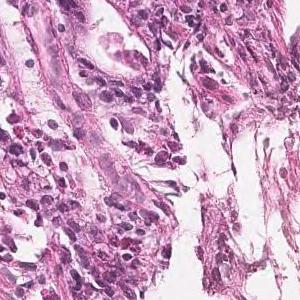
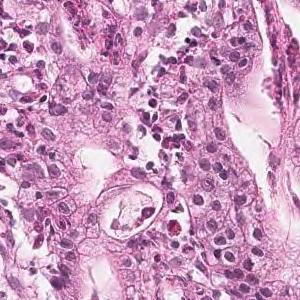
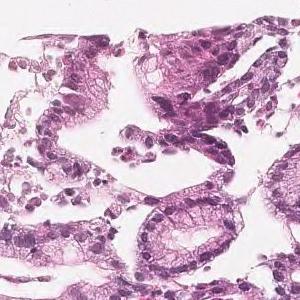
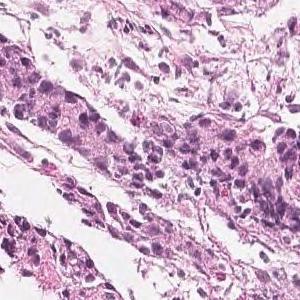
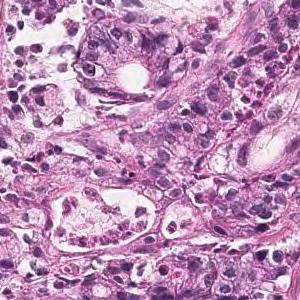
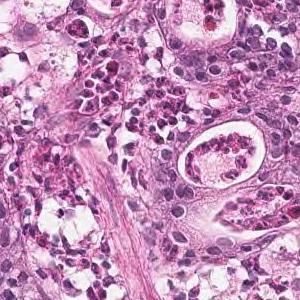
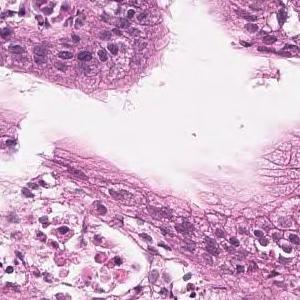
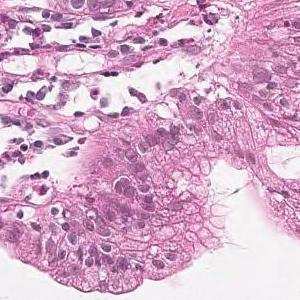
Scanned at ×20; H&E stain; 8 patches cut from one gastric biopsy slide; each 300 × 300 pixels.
Pathology report for the biopsy slide these tiles were cut from. The report describes the whole slide, diagnosis included: not every finding it names need appear in these tiles, which may also show non-tumor tissue.
Tumor tissue consisting of medium-sized, cord-like or irregular glandular infiltration is observed in the superficial epithelium. Poorly differentiated adenocarcinoma, non-solid type or moderately differentiated tubular adenocarcinoma
The term "non-solid type" comes from the Japanese Classification of Gastric Carcinoma.
